×20, H&E, 11 patches cut from one gastric biopsy slide, 300 × 300 pixels each.
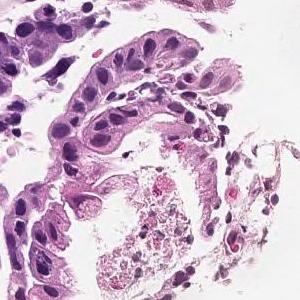
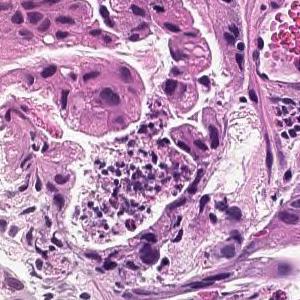
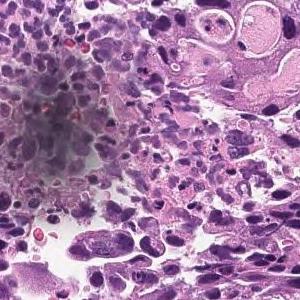
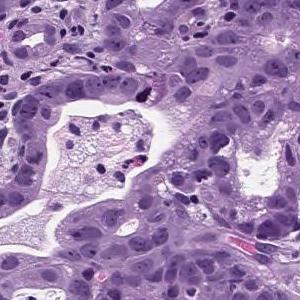
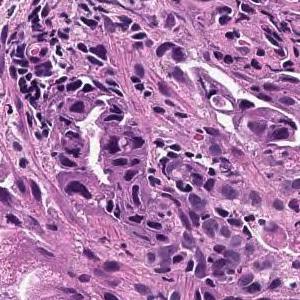
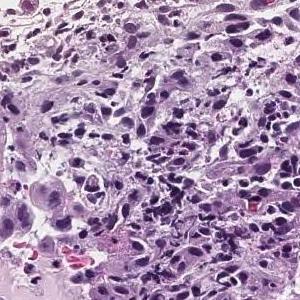
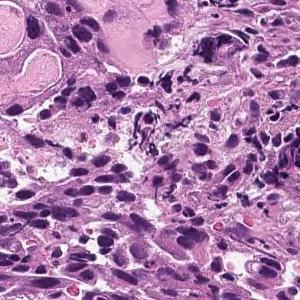
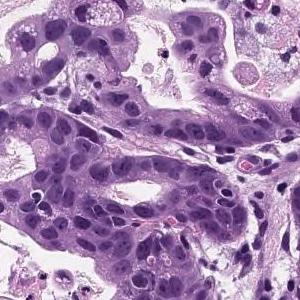
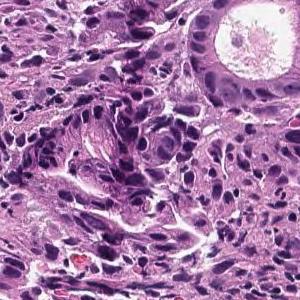
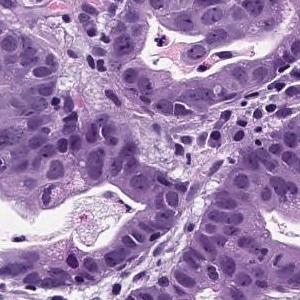
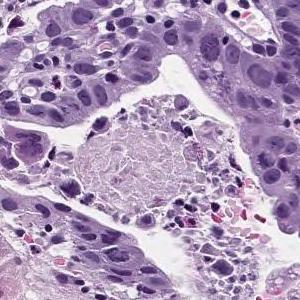
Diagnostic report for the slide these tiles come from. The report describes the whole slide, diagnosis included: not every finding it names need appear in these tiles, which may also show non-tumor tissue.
Tumor cells are large, highly columnar, large club-shaped nuclei, and are associated with chromatin aggregation. Papillary adenocarcinoma.
